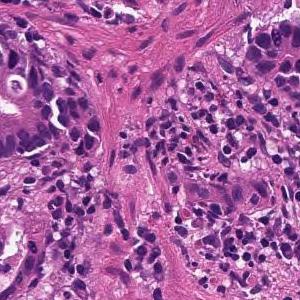
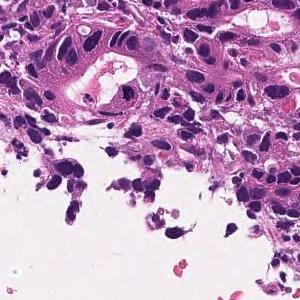
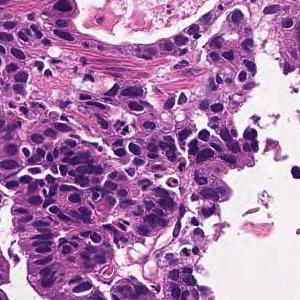
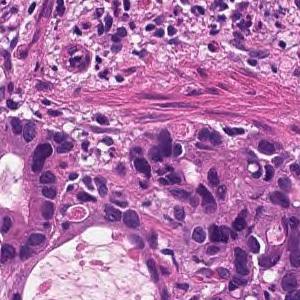
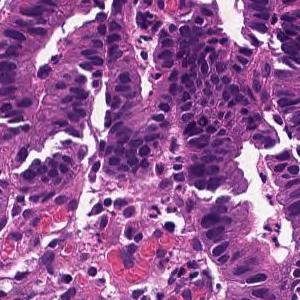
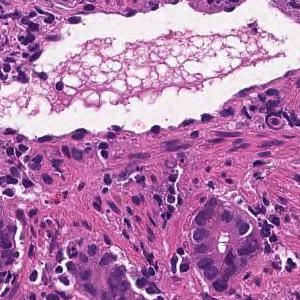
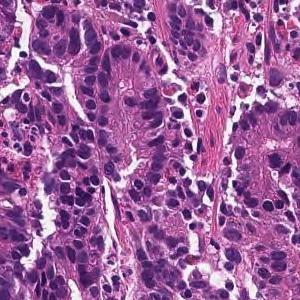
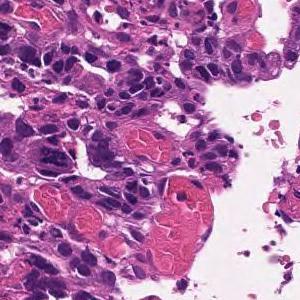
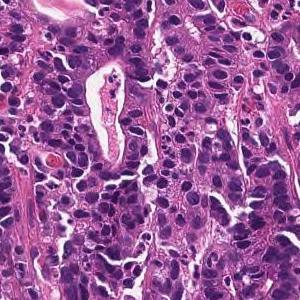
9 patches cut from one gastric biopsy slide · each 300 × 300 pixels · H&E · scanned at ×20.
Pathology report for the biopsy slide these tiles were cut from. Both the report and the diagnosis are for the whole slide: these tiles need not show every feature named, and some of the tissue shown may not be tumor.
In the superficial epithelium, tumor tissue that invades by forming medium-sized to small, irregular ducts is observed. moderately differentiated tubular adenocarcinoma.
